14 image tiles from a single gastric biopsy slide; H&E.
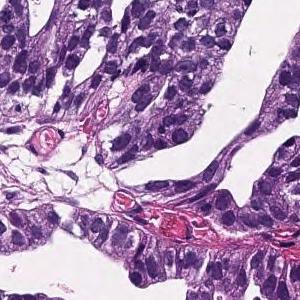
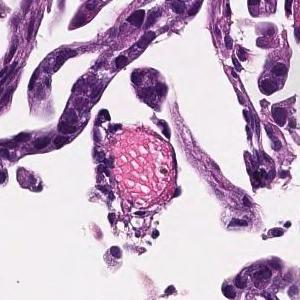
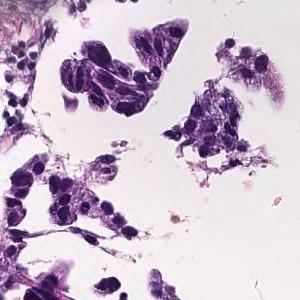
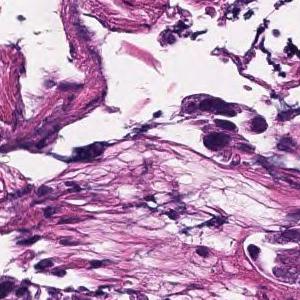
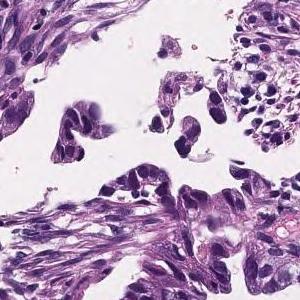
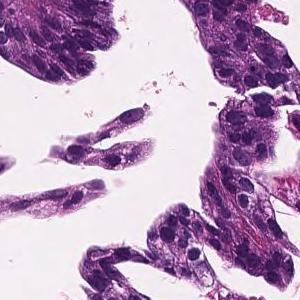
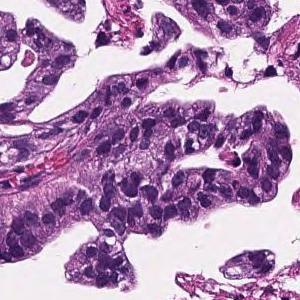
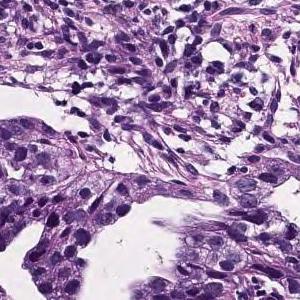
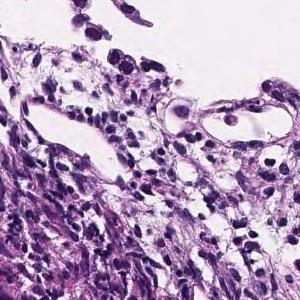
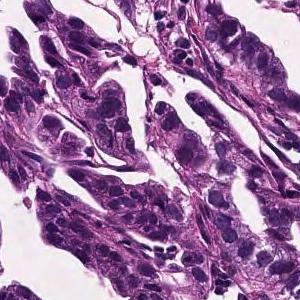
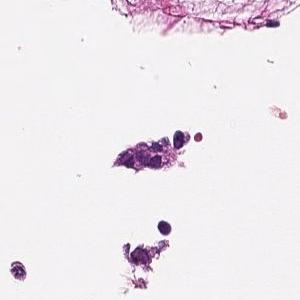
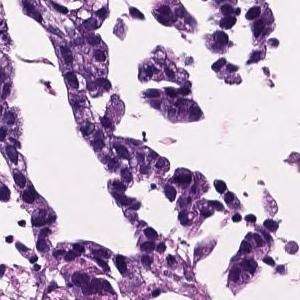
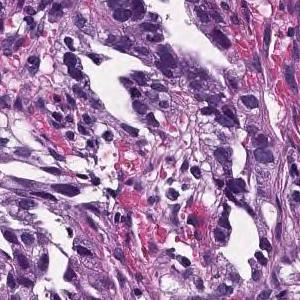
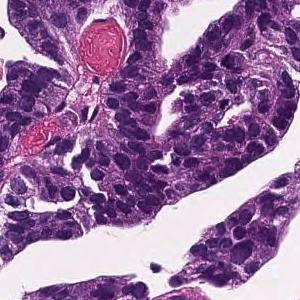
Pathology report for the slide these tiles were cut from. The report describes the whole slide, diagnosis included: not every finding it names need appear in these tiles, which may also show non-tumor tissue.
In the lamina propria, tumor tissue that invades by forming medium-sized to small, irregular glandular ducts is observed. moderately differentiated tubular adenocarcinoma
